12 tiles from the same stomach biopsy slide, 300 × 300 pixels each, ×20, H&E stain.
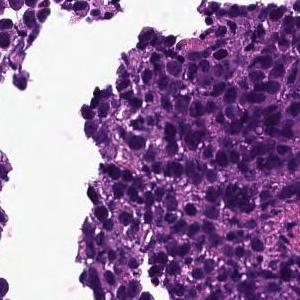
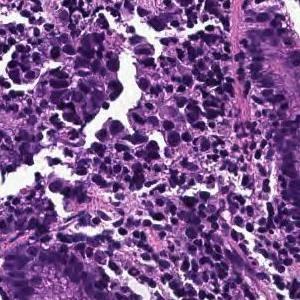
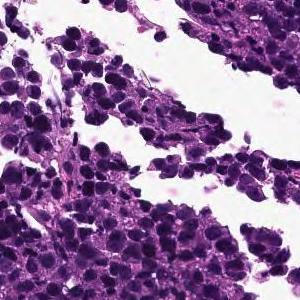
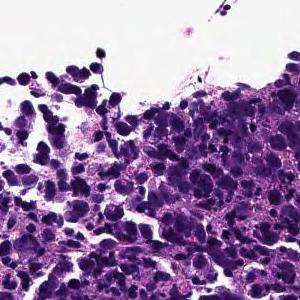
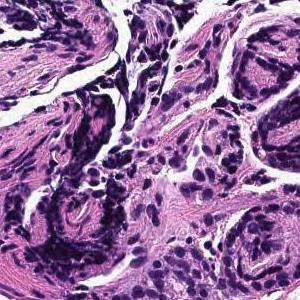
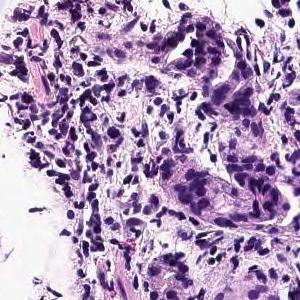
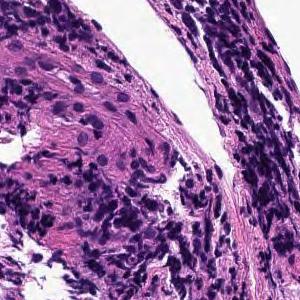
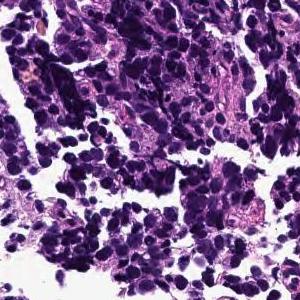
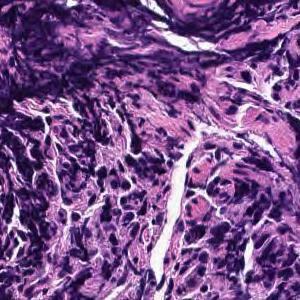
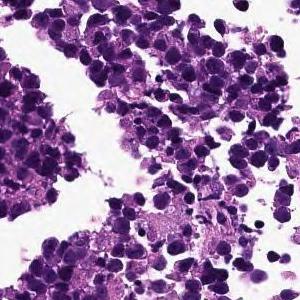
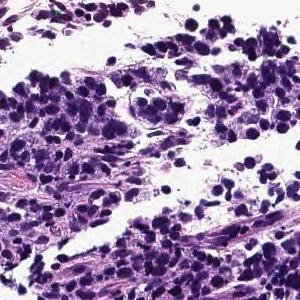
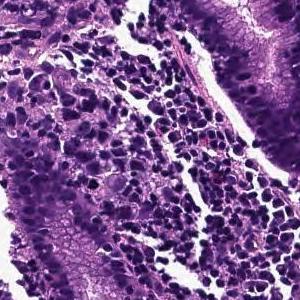
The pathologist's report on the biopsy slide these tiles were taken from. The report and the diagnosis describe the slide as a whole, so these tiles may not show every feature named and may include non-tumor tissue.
The superficial epithelium shows large alveolar or sheet-like forms, and some tumor tissue infiltrates with small irregular ducts. Poorly differentiated adenocarcinoma, solid-type
Histologic type: Poorly differentiated adenocarcinoma, solid type, a category of the Japanese Classification of Gastric Carcinoma; in the WHO 2019 classification it is tubular adenocarcinoma, poorly differentiated.
